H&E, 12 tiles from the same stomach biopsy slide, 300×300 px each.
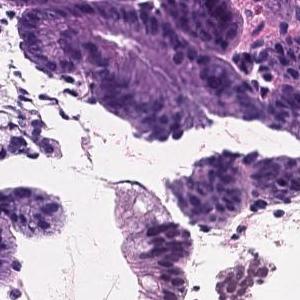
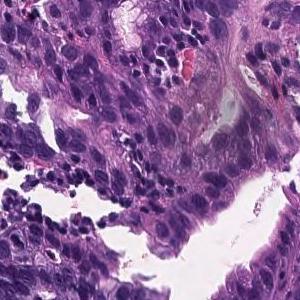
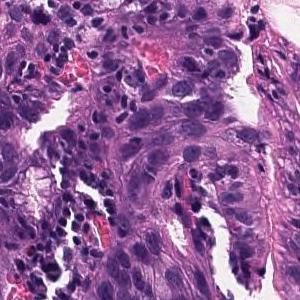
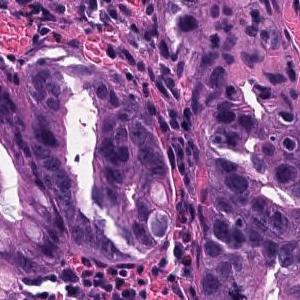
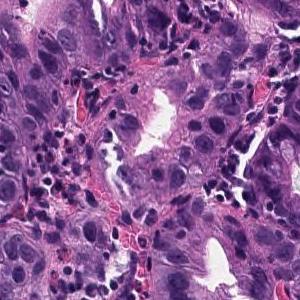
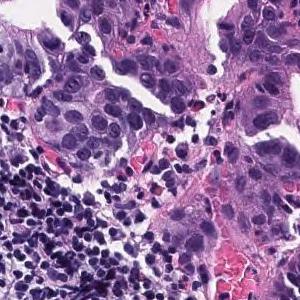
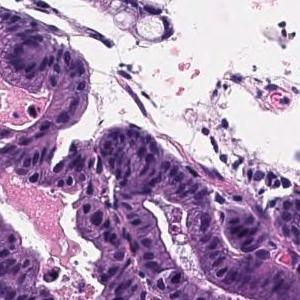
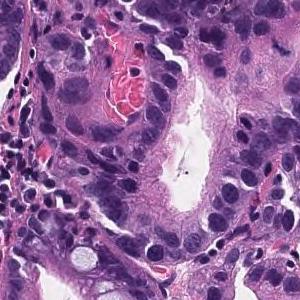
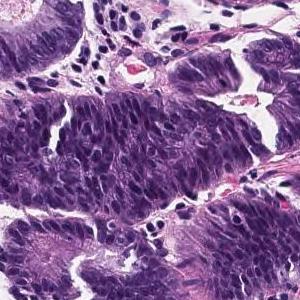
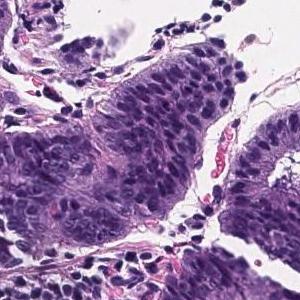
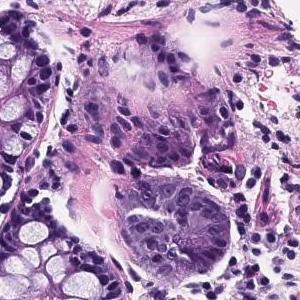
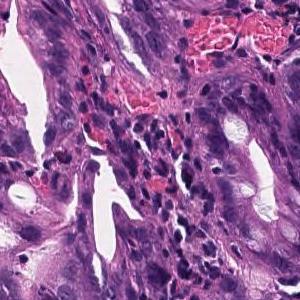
The pathologist's report on the biopsy slide these tiles were taken from. The report and the diagnosis cover the entire slide, so not every feature they name need be visible here, and some tissue shown may not be tumor.
Atypical ducts are found against the background of intestinal metaplasia. Moderately differentiated tubular adenocarcinoma, Well differentiated tubular adenocarcinoma.
